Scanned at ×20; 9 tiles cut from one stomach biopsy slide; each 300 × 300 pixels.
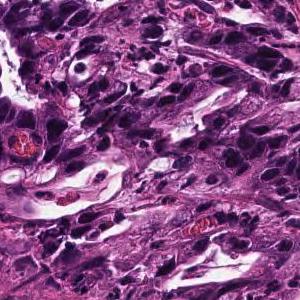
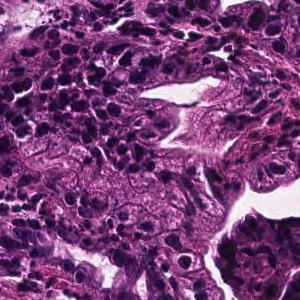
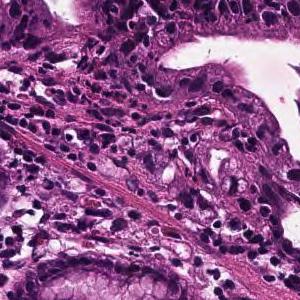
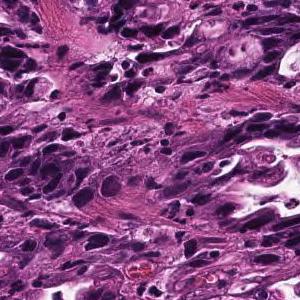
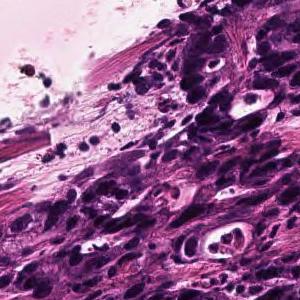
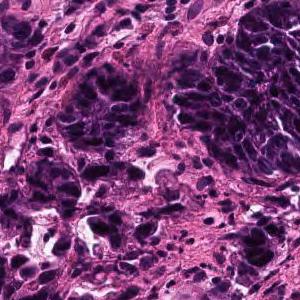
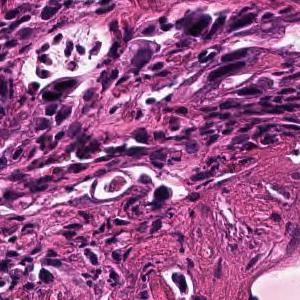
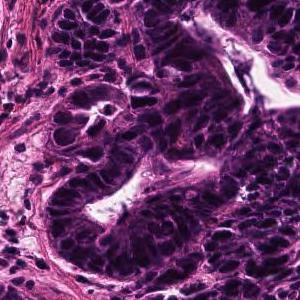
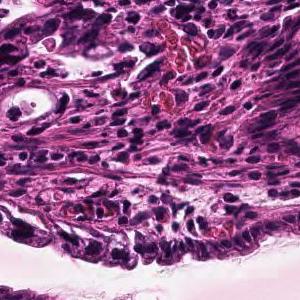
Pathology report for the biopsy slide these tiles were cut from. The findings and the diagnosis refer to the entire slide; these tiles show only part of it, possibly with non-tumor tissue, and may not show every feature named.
In the superficial epithelium, tumor tissue that invades by forming medium-sized to small, irregular ducts is observed. moderately differentiated tubular adenocarcinoma.
